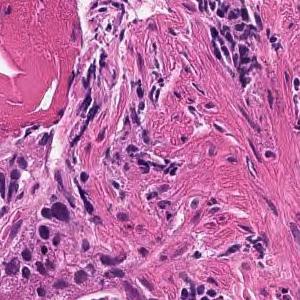
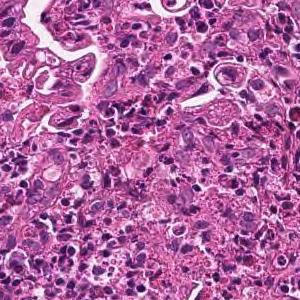
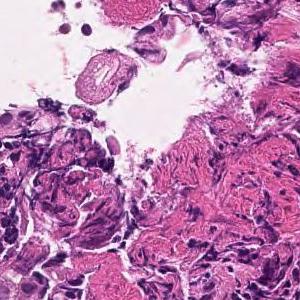
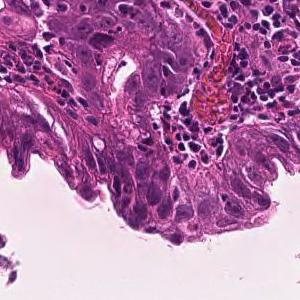
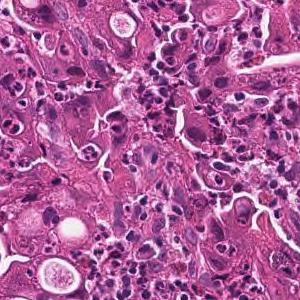
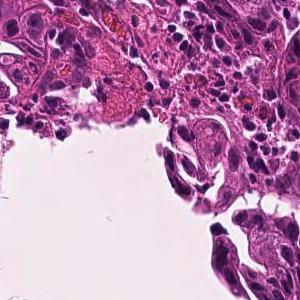
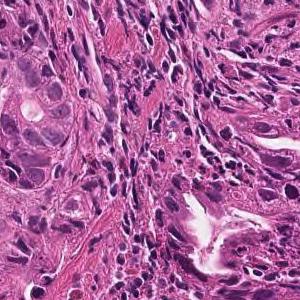
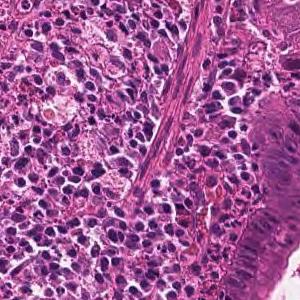
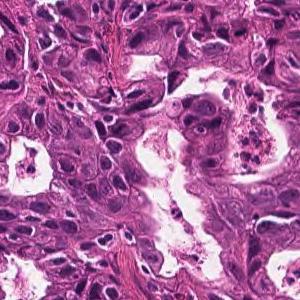
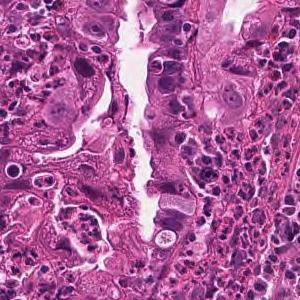
10 tiles cut from one stomach biopsy slide; each 300 × 300 pixels; H&E; ×20.
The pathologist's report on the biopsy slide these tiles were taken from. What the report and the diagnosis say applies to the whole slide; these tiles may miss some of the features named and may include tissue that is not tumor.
Medium to small, irregular glandular ducts are formed in the superficial epithelium, and in some cases, the glandular ducts are fused to show solid alveolar lesions and infiltrating tumor tissue is observed. Moderately to poorly differentiated adenocarcinoma.
